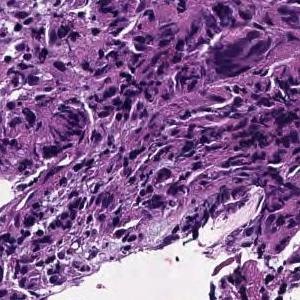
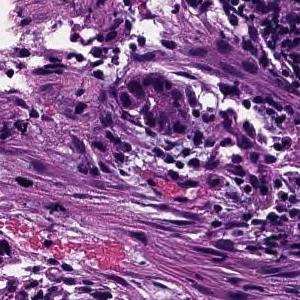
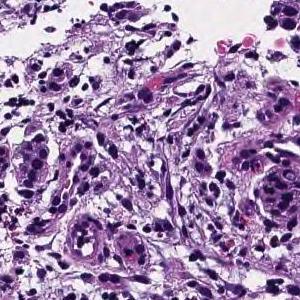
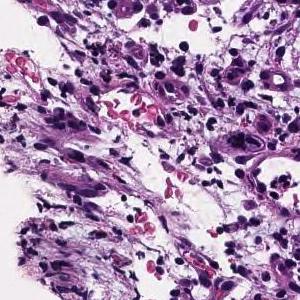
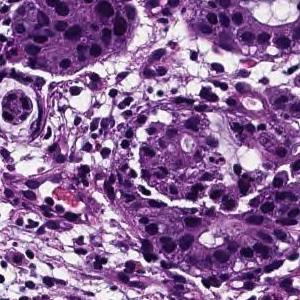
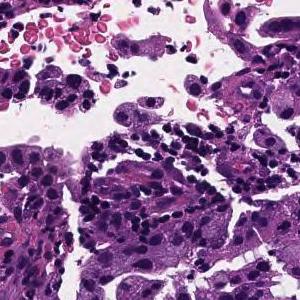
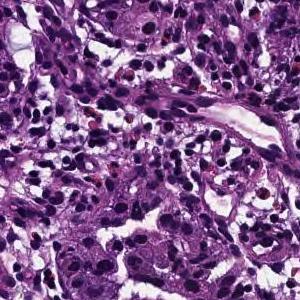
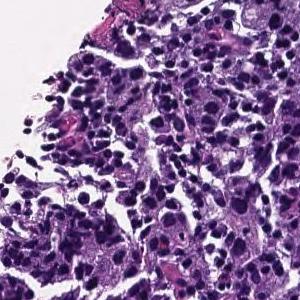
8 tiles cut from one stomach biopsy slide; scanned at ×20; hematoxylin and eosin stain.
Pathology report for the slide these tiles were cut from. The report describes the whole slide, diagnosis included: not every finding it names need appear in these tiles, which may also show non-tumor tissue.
Tumor tissue consisting of cord-like or small, irregular glandular ducts fused and infiltrated is observed in the superficial epithelium. Poorly differentiated adenocarcinoma, non-solid type
"Non-solid type" is a category of the Japanese Classification of Gastric Carcinoma.
